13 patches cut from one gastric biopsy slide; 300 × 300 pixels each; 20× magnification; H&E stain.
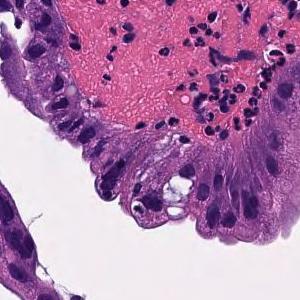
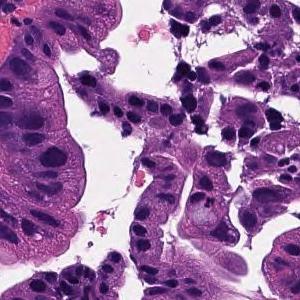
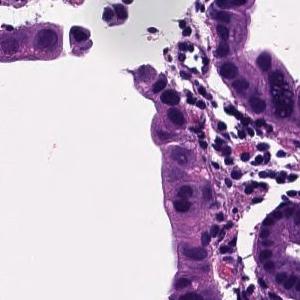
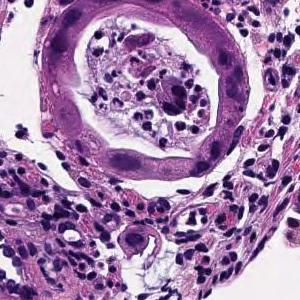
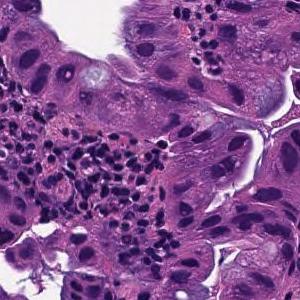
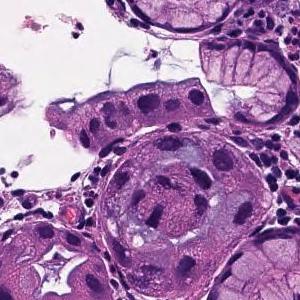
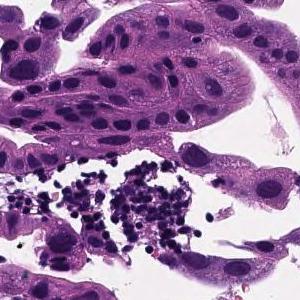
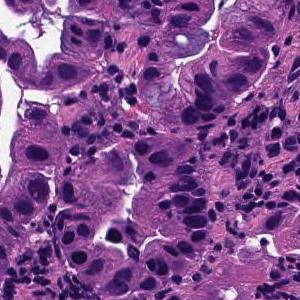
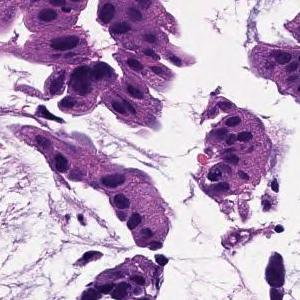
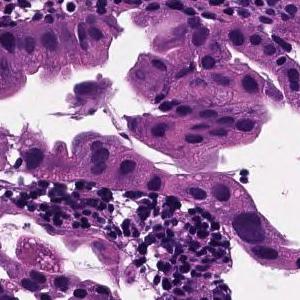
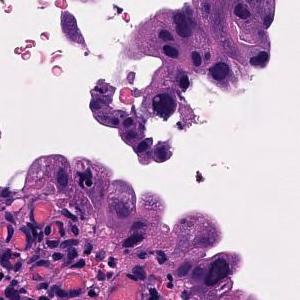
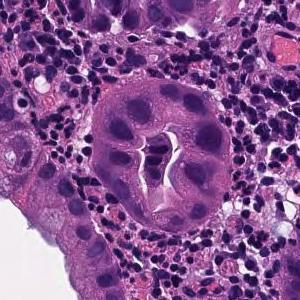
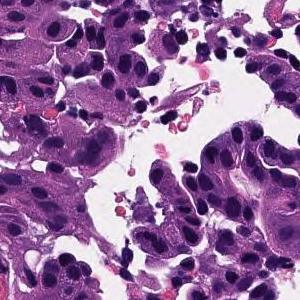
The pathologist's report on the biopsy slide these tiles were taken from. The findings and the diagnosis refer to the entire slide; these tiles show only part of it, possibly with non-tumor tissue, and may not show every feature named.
Tumor tissue consisting of large papillary structures is found in the superficial epithelium. Papillary adenocarcinoma.
